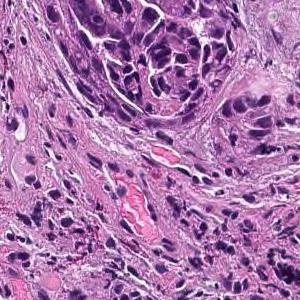
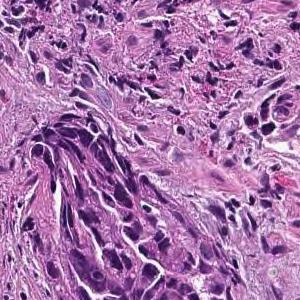
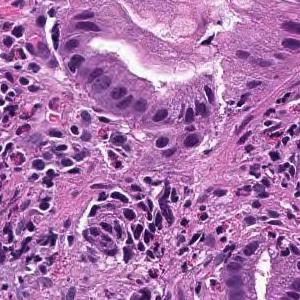
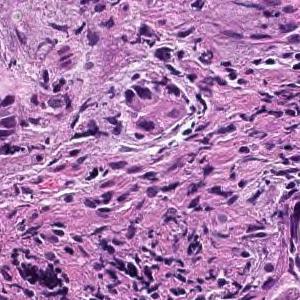
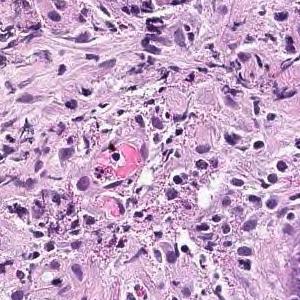
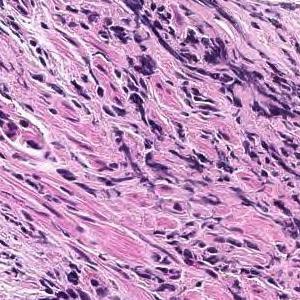
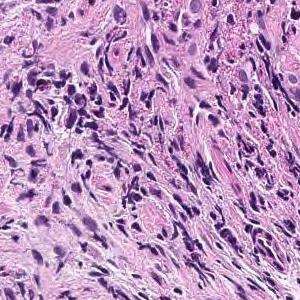
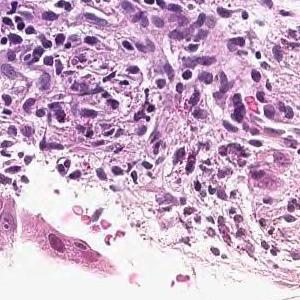
20× magnification, H&E, 8 patches cut from one gastric biopsy slide.
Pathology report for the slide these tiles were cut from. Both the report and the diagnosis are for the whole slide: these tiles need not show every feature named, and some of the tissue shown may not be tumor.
In the superficial epithelium, tumor tissue that invades by forming medium-sized to small, irregular ducts is observed. moderately differentiated tubular adenocarcinoma.
